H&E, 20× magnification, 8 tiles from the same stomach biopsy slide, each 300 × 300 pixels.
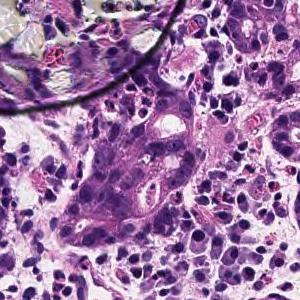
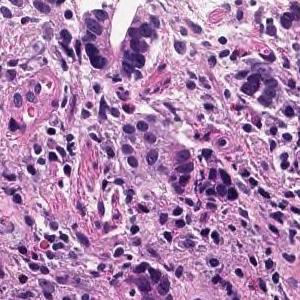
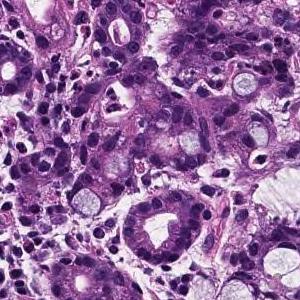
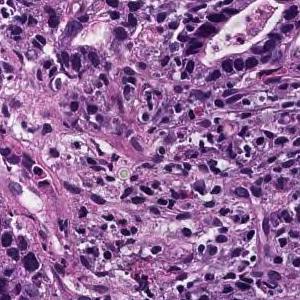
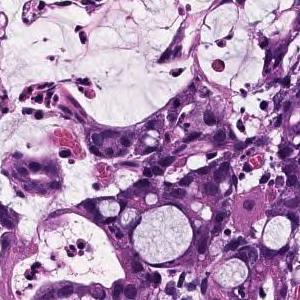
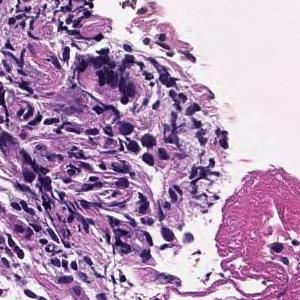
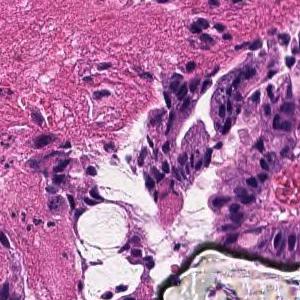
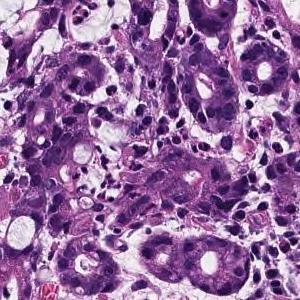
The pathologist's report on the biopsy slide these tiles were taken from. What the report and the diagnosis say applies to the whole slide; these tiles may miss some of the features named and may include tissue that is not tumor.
In the superficial epithelium, tumor tissue is found in which medium-sized to small, irregular glandular ducts are partially fused and infiltrated. moderately differentiated tubular adenocarcinoma
